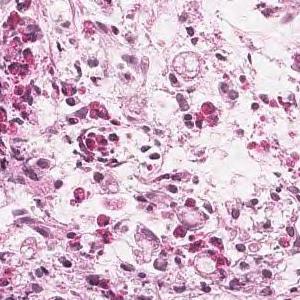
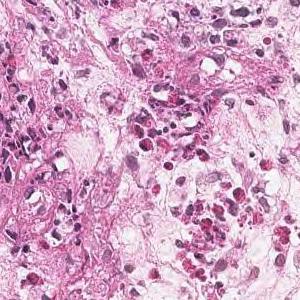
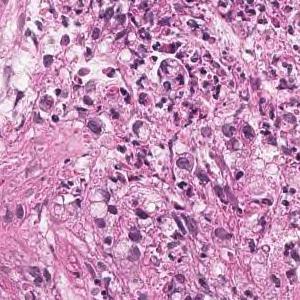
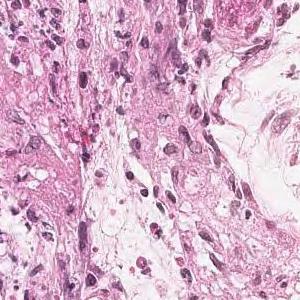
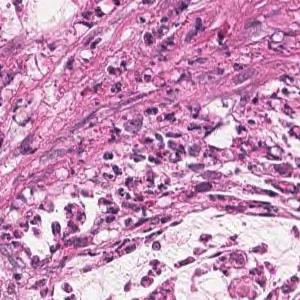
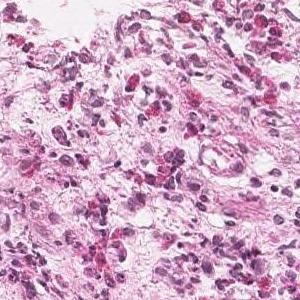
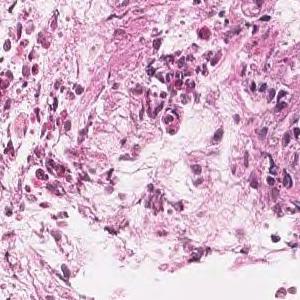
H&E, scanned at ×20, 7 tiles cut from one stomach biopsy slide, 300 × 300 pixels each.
The pathologist's report on the biopsy slide these tiles were taken from. The report and the diagnosis describe the slide as a whole, so these tiles may not show every feature named and may include non-tumor tissue.
Tumor tissue is observed in which atypical epithelial cells with mucus in the vesicles proliferate while being isolated. Signet ring cell carcinoma
